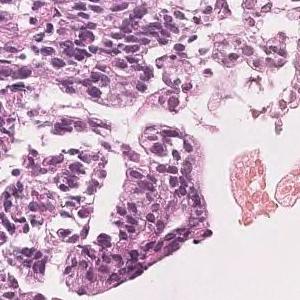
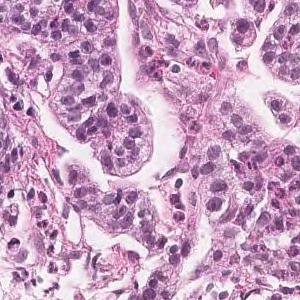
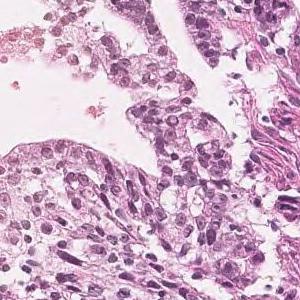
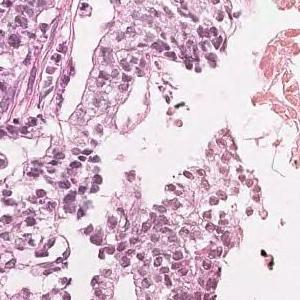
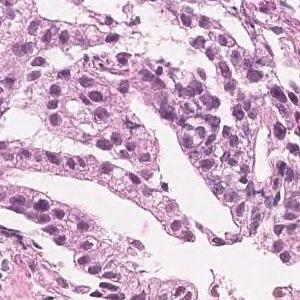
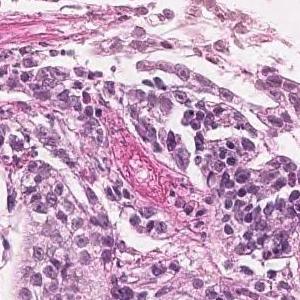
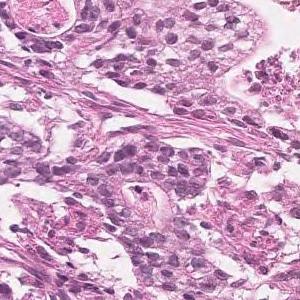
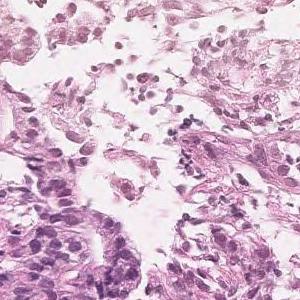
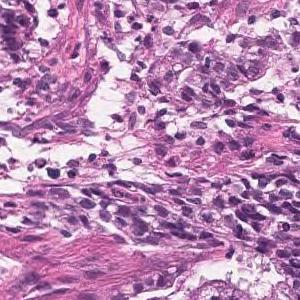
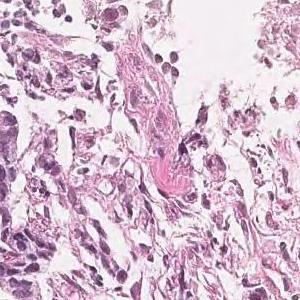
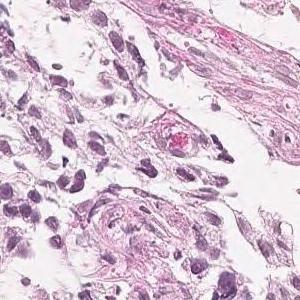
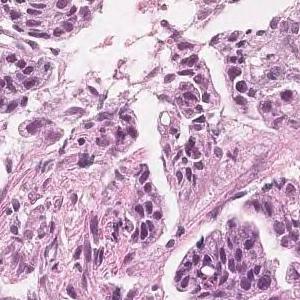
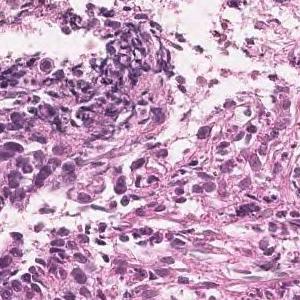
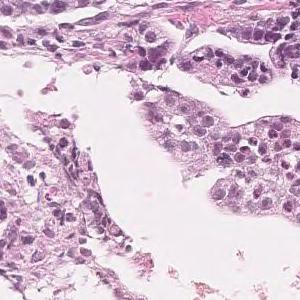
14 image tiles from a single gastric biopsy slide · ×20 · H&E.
Diagnostic report for the slide these tiles come from. The report and the diagnosis cover the entire slide, so not every feature they name need be visible here, and some tissue shown may not be tumor.
Tumor tissue in which highly columnar atypical epithelial cells with nuclear enlargement and increased nuclear chromatin show papillary to papillary ductal structure and proliferate is observed. Papillary adenocarcinoma.
